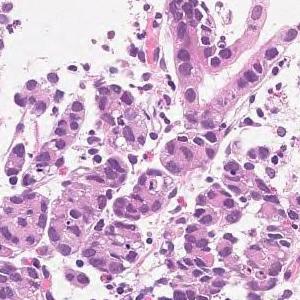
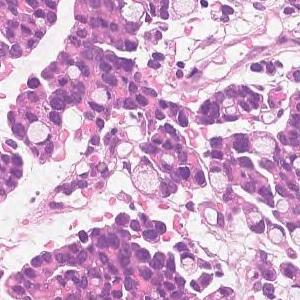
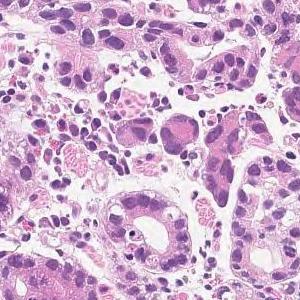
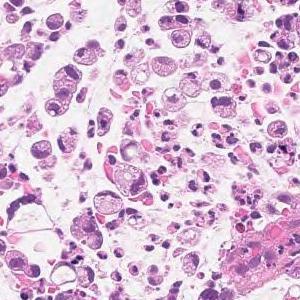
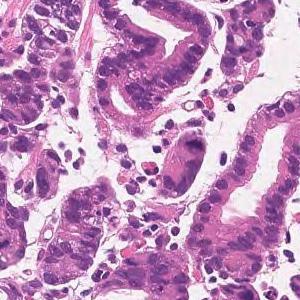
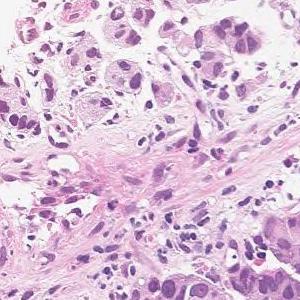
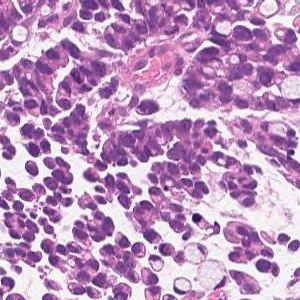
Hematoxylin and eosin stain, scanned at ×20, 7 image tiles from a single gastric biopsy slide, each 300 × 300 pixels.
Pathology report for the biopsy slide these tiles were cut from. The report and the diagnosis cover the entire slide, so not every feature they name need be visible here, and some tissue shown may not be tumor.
Medium to small, irregular glandular ducts are formed in the superficial epithelium, and in some cases, the glandular ducts are fused to show solid alveolar lesions and infiltrating tumor tissue is observed. Moderately to poorly differentiated adenocarcinoma.
